20× magnification · H&E stain · 7 tiles from the same stomach biopsy slide · 300×300 px each.
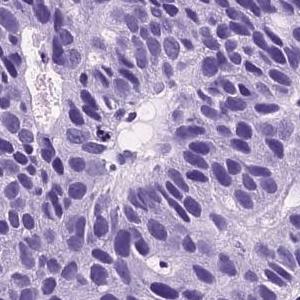
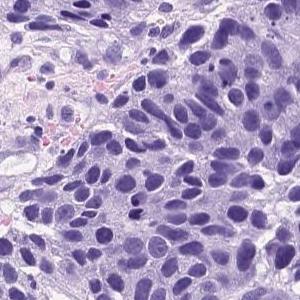
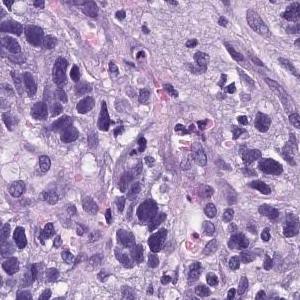
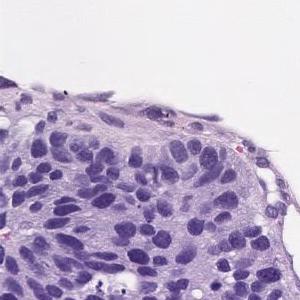
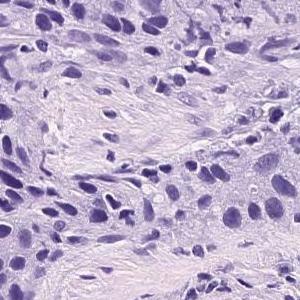
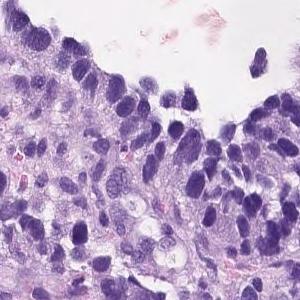
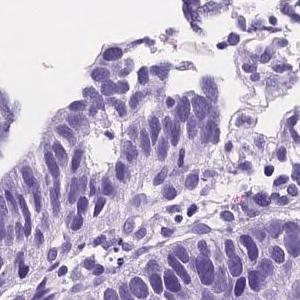
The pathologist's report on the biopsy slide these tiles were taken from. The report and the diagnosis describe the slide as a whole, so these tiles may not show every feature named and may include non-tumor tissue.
Atypical cells with atypical nuclei forming small irregular atypical ducts and growing in a conformative manner. moderately differentiated tubular adenocarcinoma
Labeled in the dataset as moderately to poorly differentiated adenocarcinoma.
